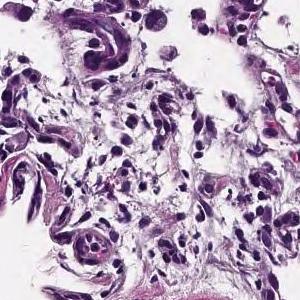
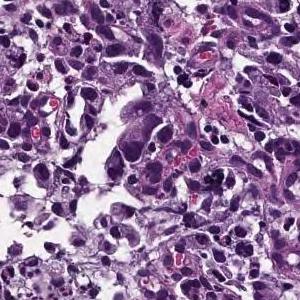
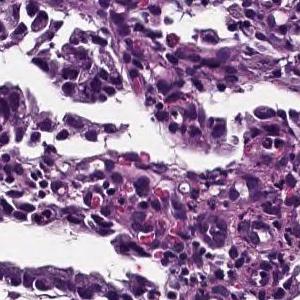
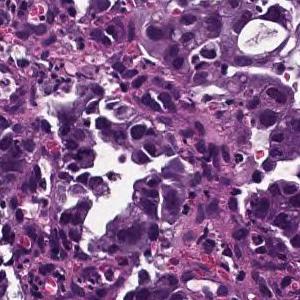
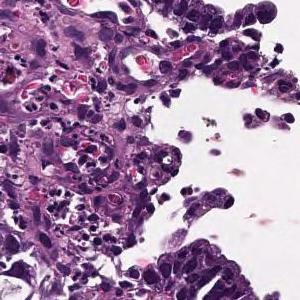
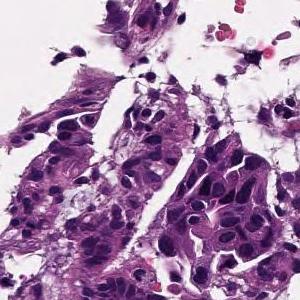
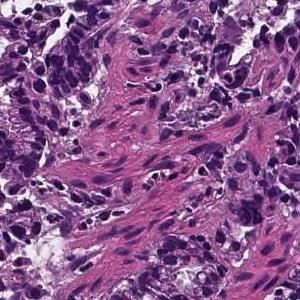
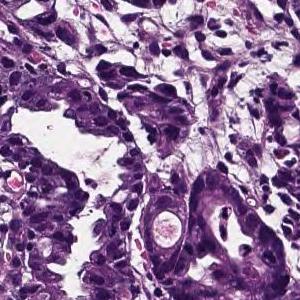
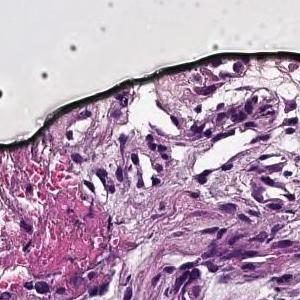
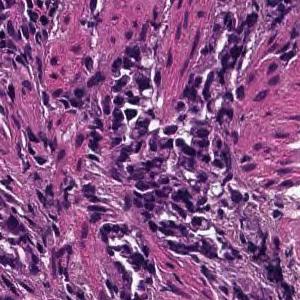
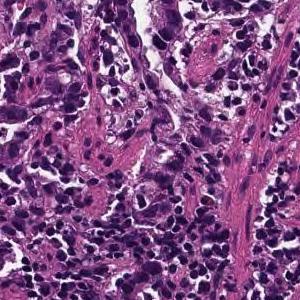
11 patches cut from one gastric biopsy slide, each 300 × 300 pixels, H&E stain, ×20.
Pathology report for the biopsy slide these tiles were cut from. Both the report and the diagnosis are for the whole slide: these tiles need not show every feature named, and some of the tissue shown may not be tumor.
Medium to small, irregular glandular ducts are formed in the superficial epithelium, and in some cases, the glandular ducts are fused to show solid alveolar lesions and infiltrating tumor tissue is observed. Moderately to poorly differentiated adenocarcinoma.
